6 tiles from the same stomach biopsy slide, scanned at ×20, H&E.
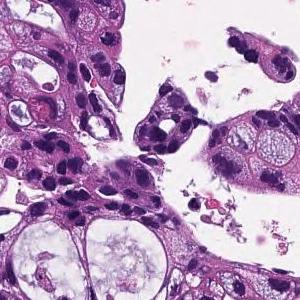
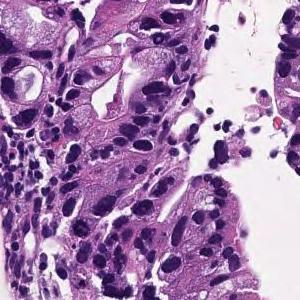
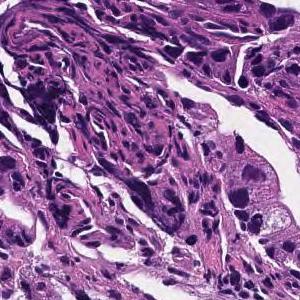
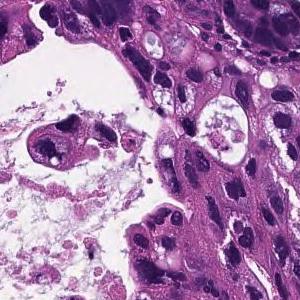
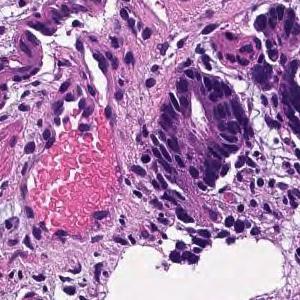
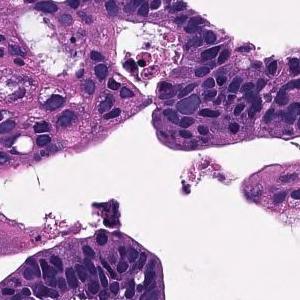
The pathologist's report on the biopsy slide these tiles were taken from. What the report and the diagnosis say applies to the whole slide; these tiles may miss some of the features named and may include tissue that is not tumor.
In the superficial epithelium, tumor tissue that invades by forming medium-sized to small, irregular ducts is observed. moderately differentiated tubular adenocarcinoma.
